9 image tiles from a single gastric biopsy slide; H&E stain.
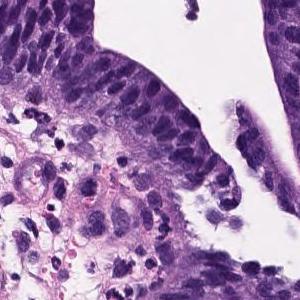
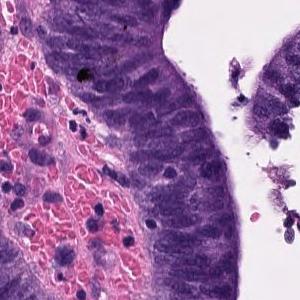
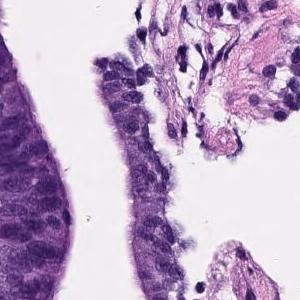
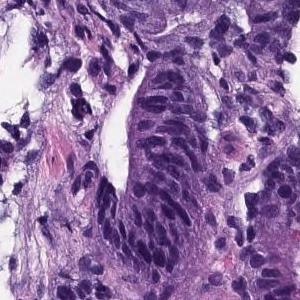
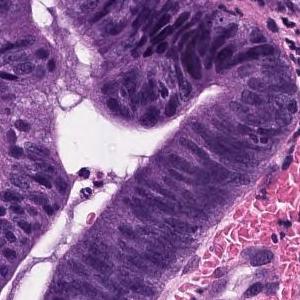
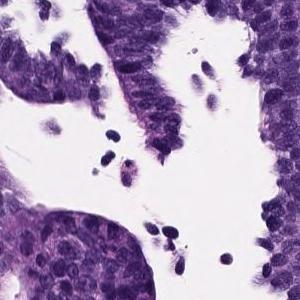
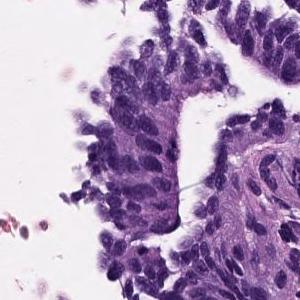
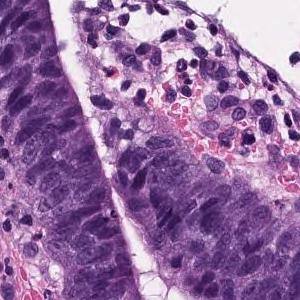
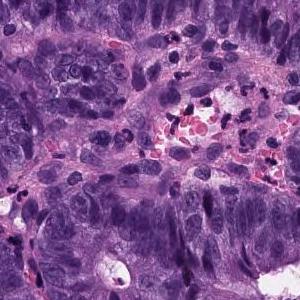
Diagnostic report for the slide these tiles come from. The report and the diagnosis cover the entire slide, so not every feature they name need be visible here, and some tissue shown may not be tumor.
Papillo-tubular growth of atypical tubules with nuclear swelling is observed. Well differentiated tubular adenocarcinoma
